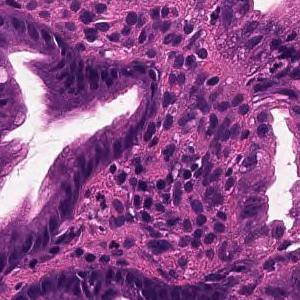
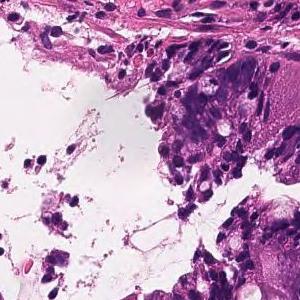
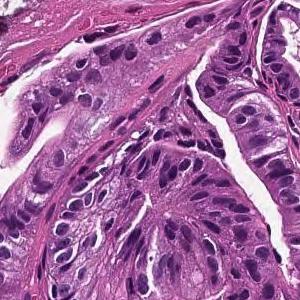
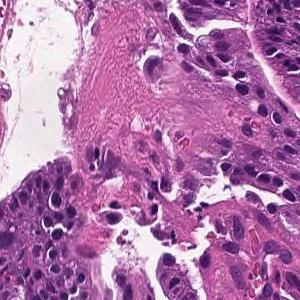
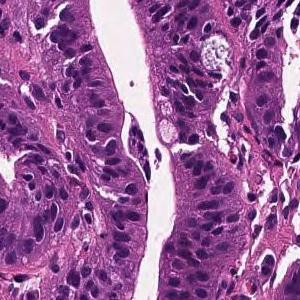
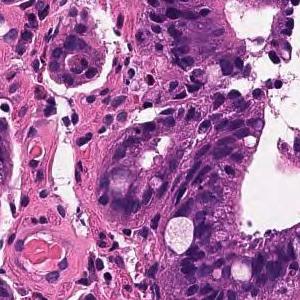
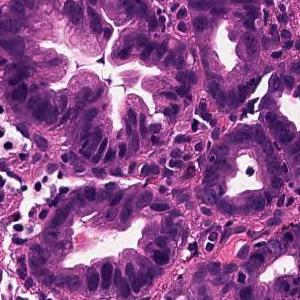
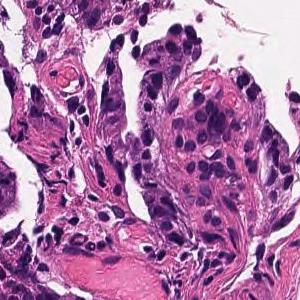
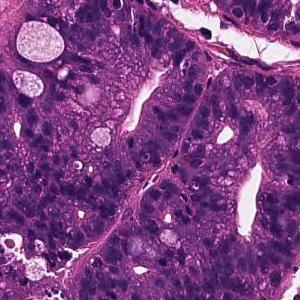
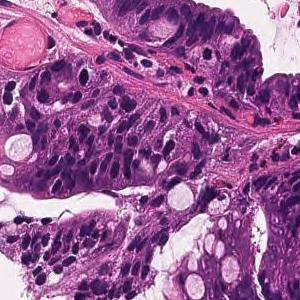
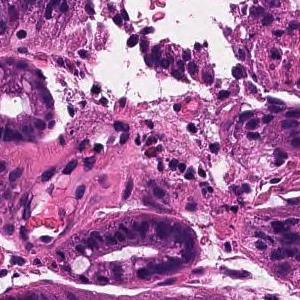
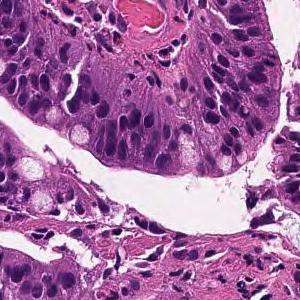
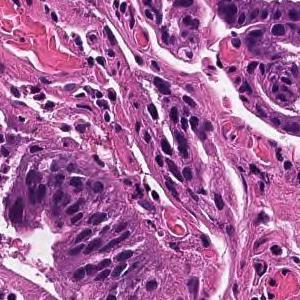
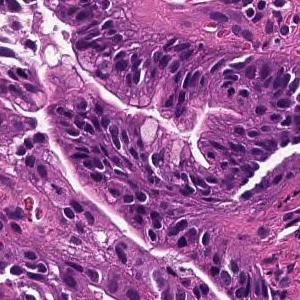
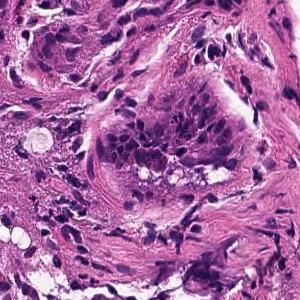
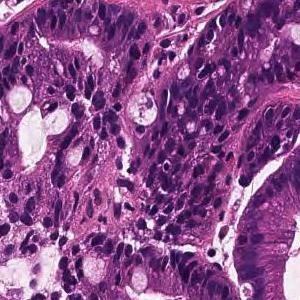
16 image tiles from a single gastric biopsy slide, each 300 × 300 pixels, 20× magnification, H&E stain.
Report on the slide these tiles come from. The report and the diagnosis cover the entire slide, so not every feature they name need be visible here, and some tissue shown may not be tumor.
On the superficial epithelium, tumor tissue that infiltrates by forming medium-sized papillary or small irregular ducts is observed. Papillary adenocarcinoma
